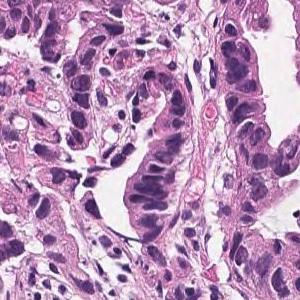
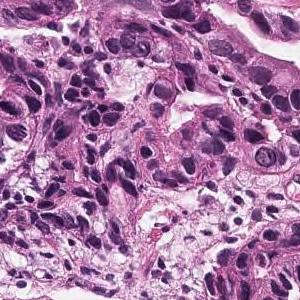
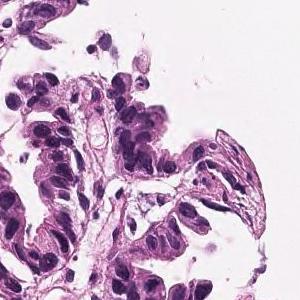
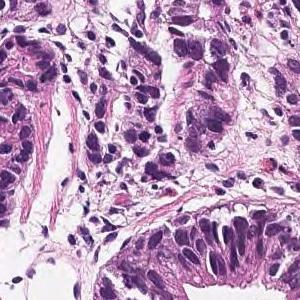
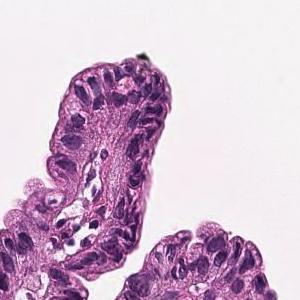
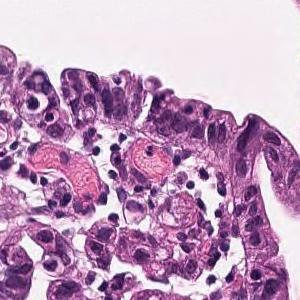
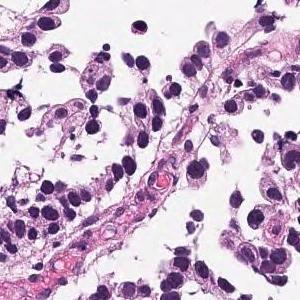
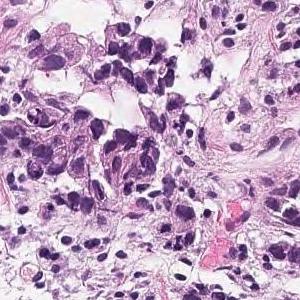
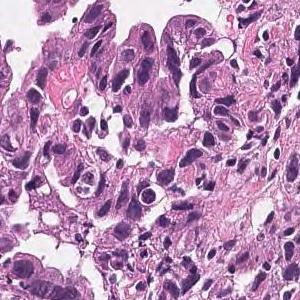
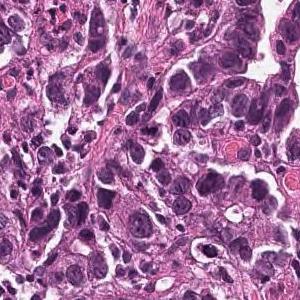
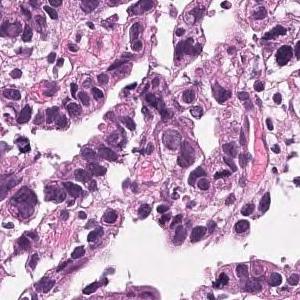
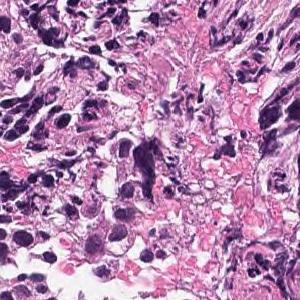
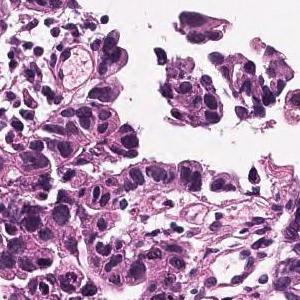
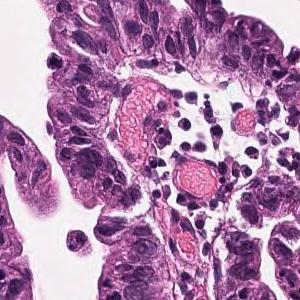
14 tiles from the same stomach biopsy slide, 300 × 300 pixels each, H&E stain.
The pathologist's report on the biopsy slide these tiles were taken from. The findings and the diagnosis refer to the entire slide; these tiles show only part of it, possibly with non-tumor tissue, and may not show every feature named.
Medium to small, irregular glandular ducts are formed in the superficial epithelium, and in some cases, the glandular ducts are fused to show solid alveolar lesions and infiltrating tumor tissue is observed. Moderately to poorly differentiated adenocarcinoma.
